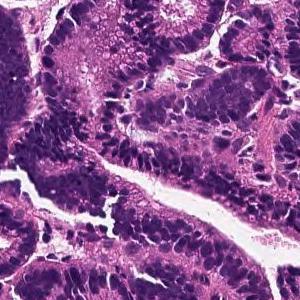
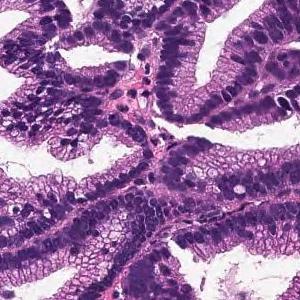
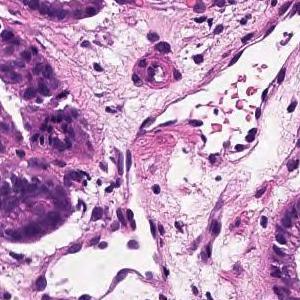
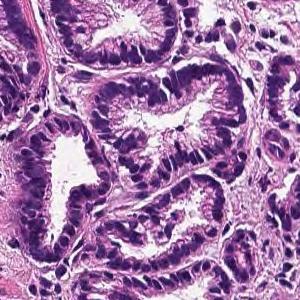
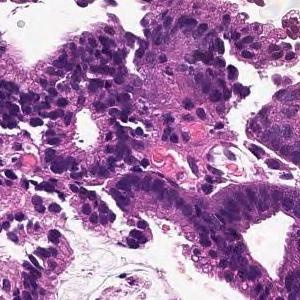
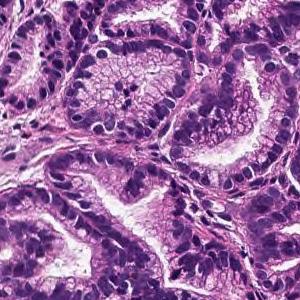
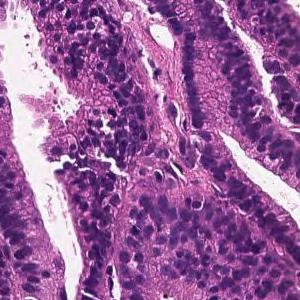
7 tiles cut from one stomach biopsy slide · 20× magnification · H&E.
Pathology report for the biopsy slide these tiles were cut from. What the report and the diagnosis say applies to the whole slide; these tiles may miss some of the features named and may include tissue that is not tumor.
On the superficial epithelium, tumor tissue consisting of large irregular glandular ducts partially fused and infiltrated is observed. Well to moderately differentiated tubular adenocarcinoma (well differentiated tubular adenocarcinoma, moderately differentiated tubular adenocarcinoma)
Classified as well to moderately differentiated tubular adenocarcinoma.
